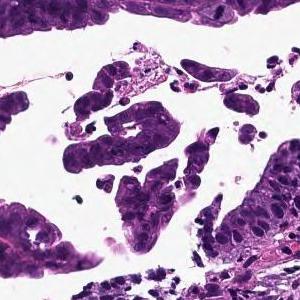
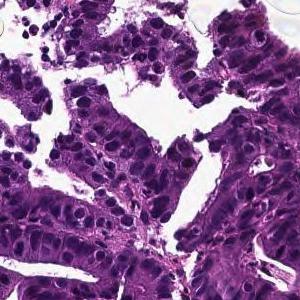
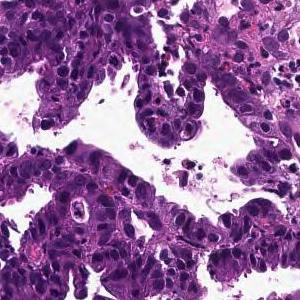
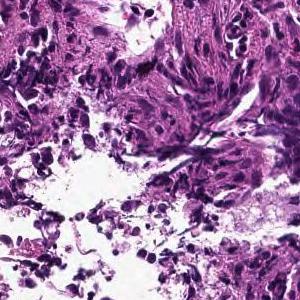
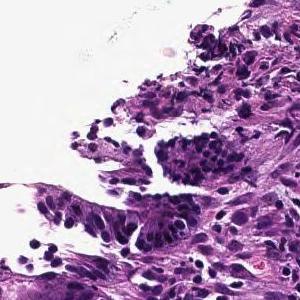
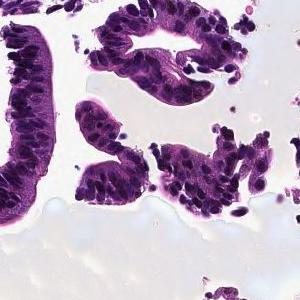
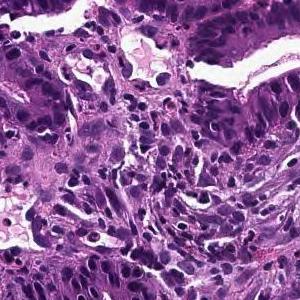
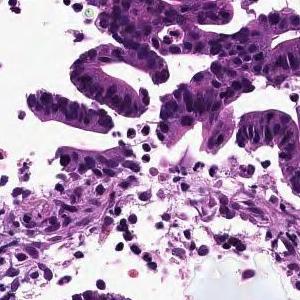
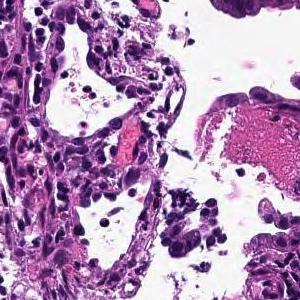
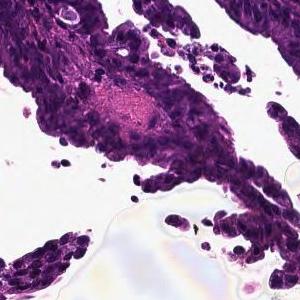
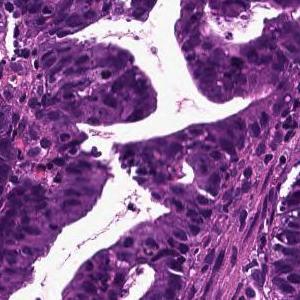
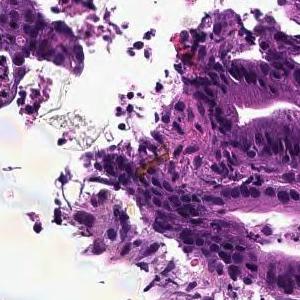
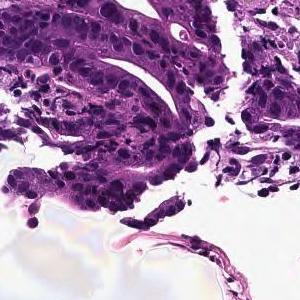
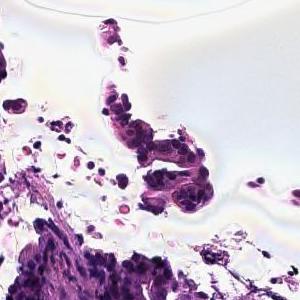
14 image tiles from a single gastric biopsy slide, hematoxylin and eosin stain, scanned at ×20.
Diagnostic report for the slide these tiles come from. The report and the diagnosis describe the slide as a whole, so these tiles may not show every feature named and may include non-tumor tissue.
Tumor cells are large, highly columnar, large club-shaped nuclei, and are associated with chromatin aggregation. Papillary adenocarcinoma.
